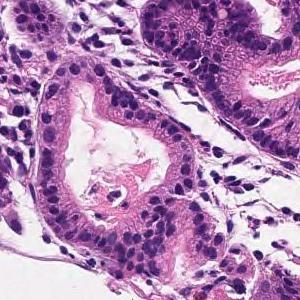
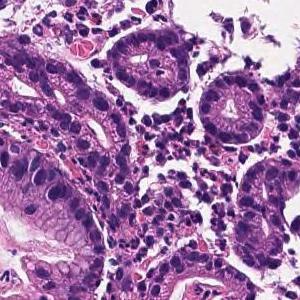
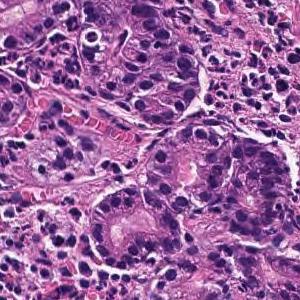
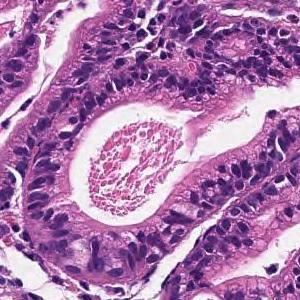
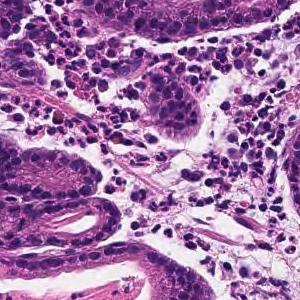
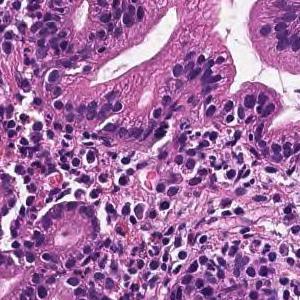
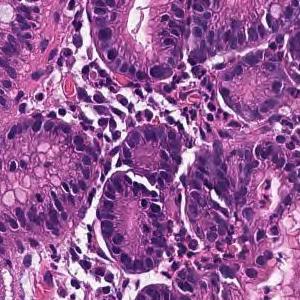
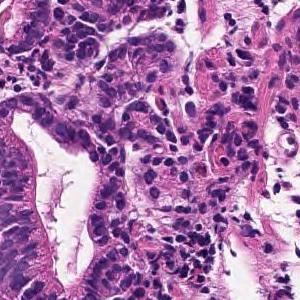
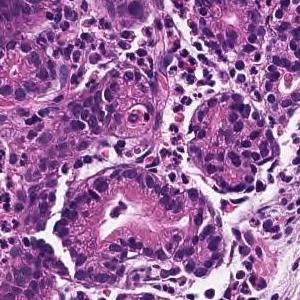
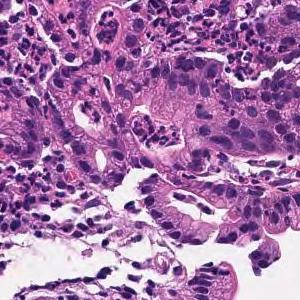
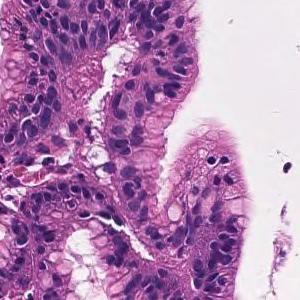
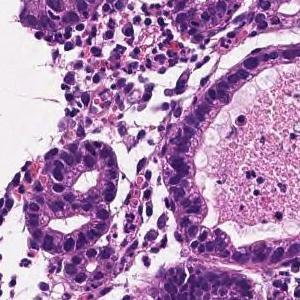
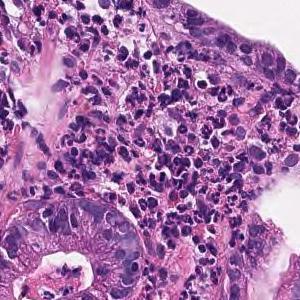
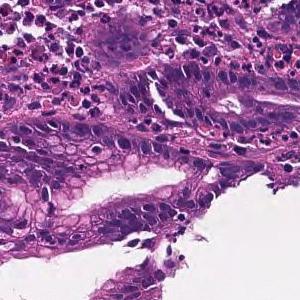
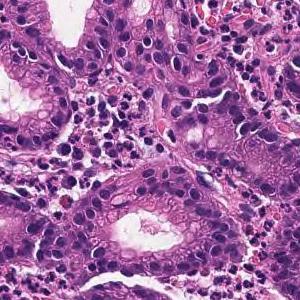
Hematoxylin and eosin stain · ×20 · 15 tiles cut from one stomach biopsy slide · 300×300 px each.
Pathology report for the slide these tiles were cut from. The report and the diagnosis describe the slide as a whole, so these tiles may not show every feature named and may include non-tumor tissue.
Tumor tissue infiltrated and proliferated with small to medium-sized irregular tubules is observed in the superficial epithelium. Well differentiated tubular adenocarcinoma
